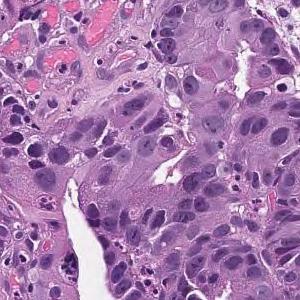
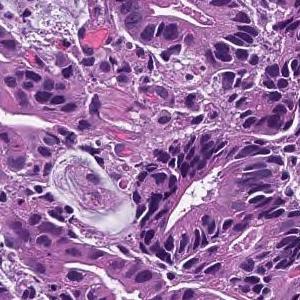
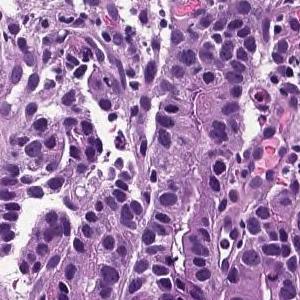
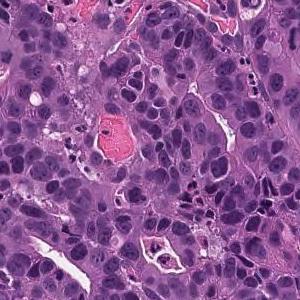
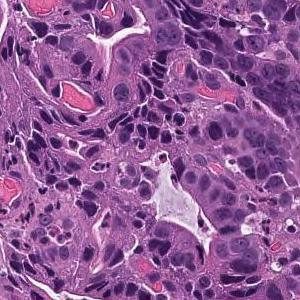
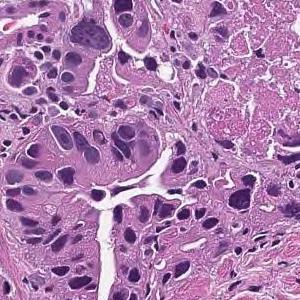
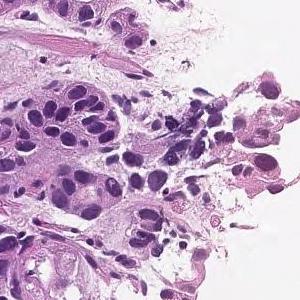
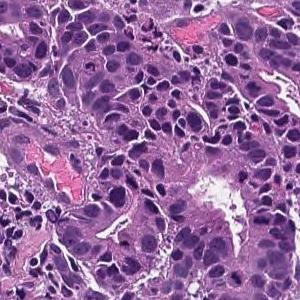
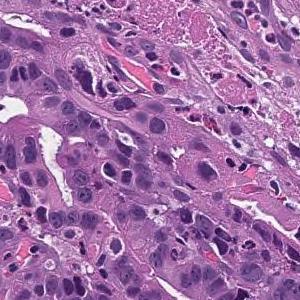
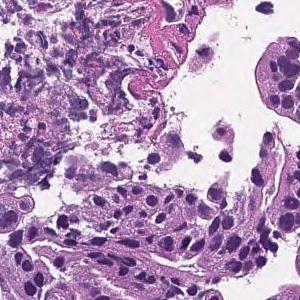
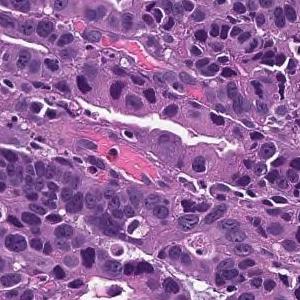
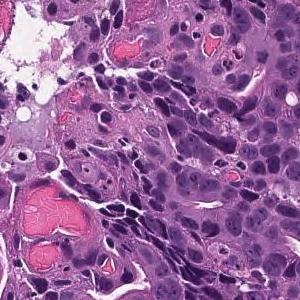
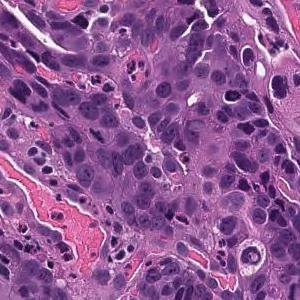
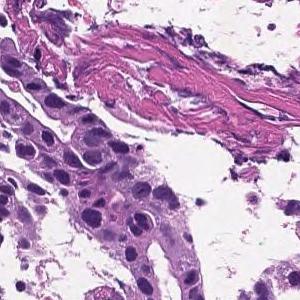
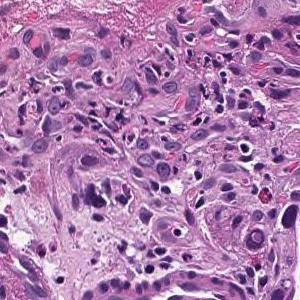
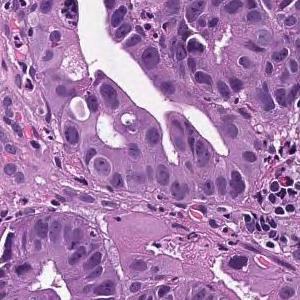
16 patches cut from one gastric biopsy slide · H&E · ×20.
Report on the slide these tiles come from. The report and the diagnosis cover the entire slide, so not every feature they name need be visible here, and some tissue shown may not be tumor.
In the superficial epithelium, tumor tissue that invades by forming medium-sized to small, irregular ducts is observed. moderately differentiated tubular adenocarcinoma.
